Hematoxylin and eosin stain · ×20 · 4 image tiles from a single gastric biopsy slide.
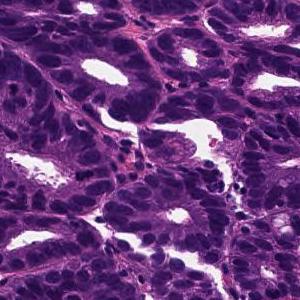
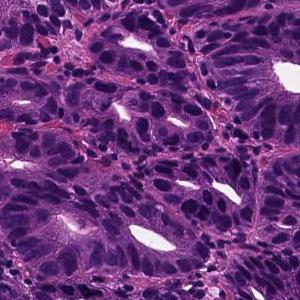
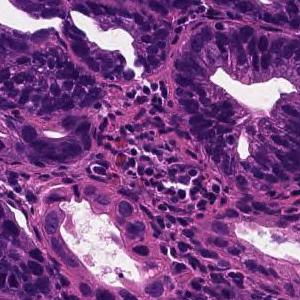
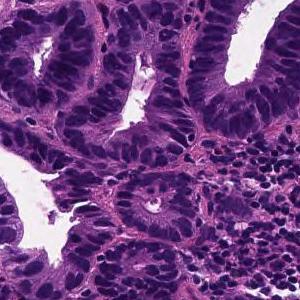
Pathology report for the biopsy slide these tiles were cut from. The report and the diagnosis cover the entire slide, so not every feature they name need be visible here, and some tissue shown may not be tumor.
Tumor tissue in which medium to small irregular ducts infiltrate and proliferate in the submucosa can be seen in the epithelium. Well differentiated tubular adenocarcinoma
